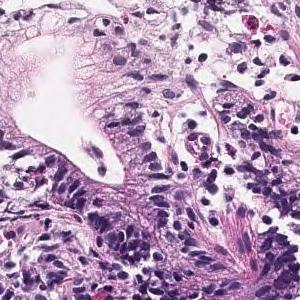
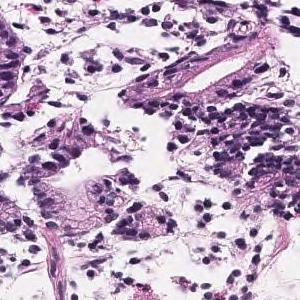
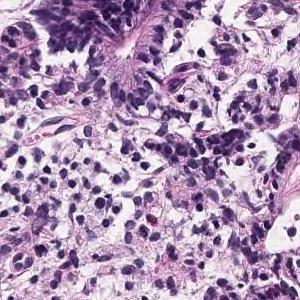
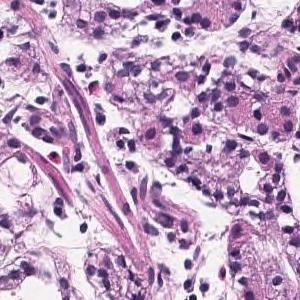
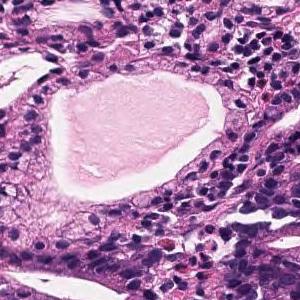
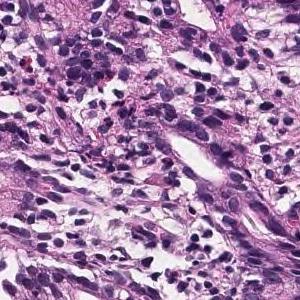
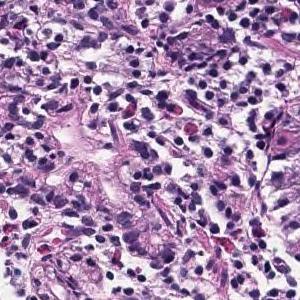
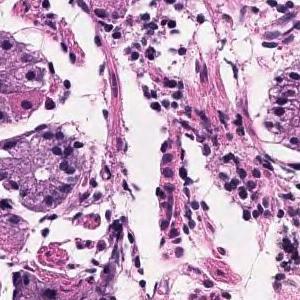
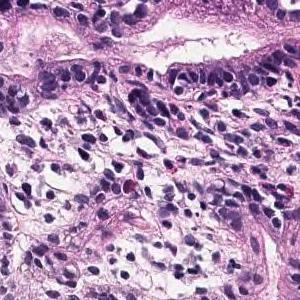
×20; hematoxylin and eosin stain; 9 tiles from the same stomach biopsy slide; 300 × 300 pixels each.
Pathology report for the slide these tiles were cut from. The report describes the whole slide, diagnosis included: not every finding it names need appear in these tiles, which may also show non-tumor tissue.
Tumor tissue that grows and grows is observed, showing a medium-sized round or irregular duct. moderately differentiated tubular adenocarcinoma
